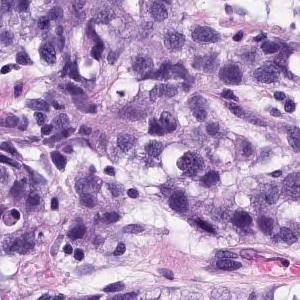
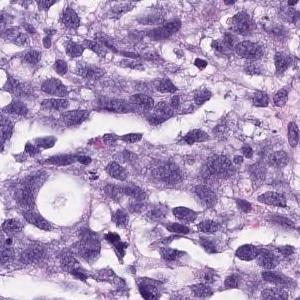
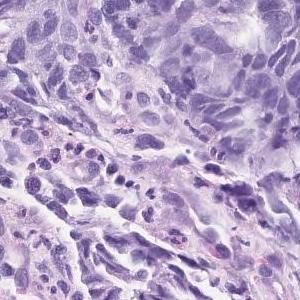
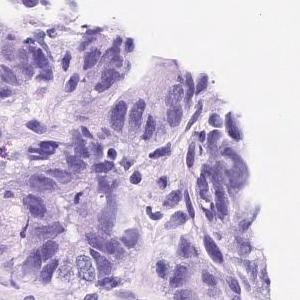
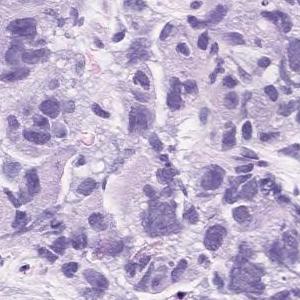
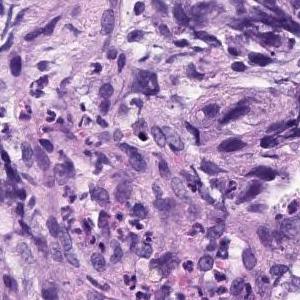
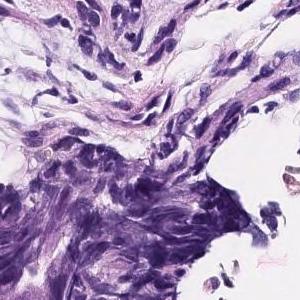
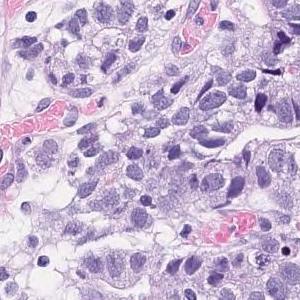
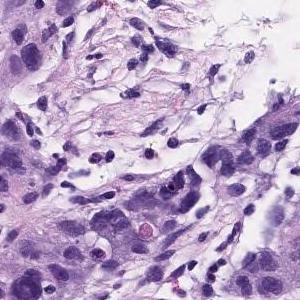
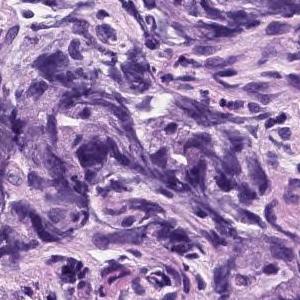
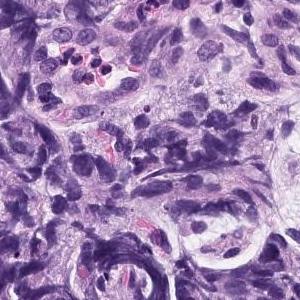
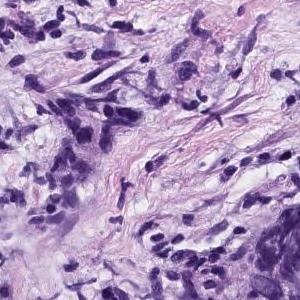
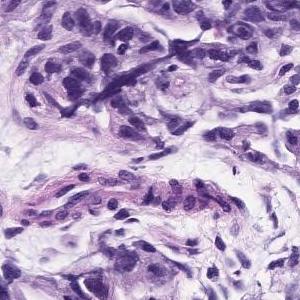
13 image tiles from a single gastric biopsy slide, 300×300 px each, hematoxylin and eosin stain, 20× magnification.
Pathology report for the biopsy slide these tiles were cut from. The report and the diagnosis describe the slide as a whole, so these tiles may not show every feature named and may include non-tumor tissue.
Atypical epithelial cells with an increased N/C ratio proliferate and consist of a part that shows the formation of gland ducts and a part that shows solid growth. Poorly differentiated adenocarcinoma, solid-type
Classified as poorly differentiated adenocarcinoma, solid type (Japanese Classification of Gastric Carcinoma). The WHO 2019 equivalent is tubular adenocarcinoma, poorly differentiated.
